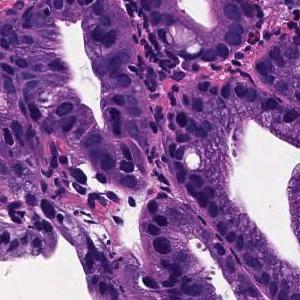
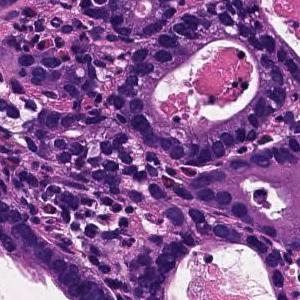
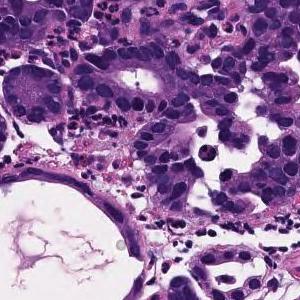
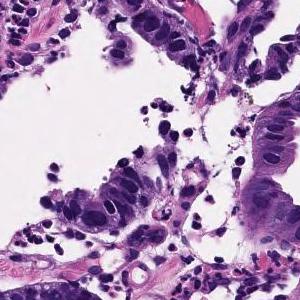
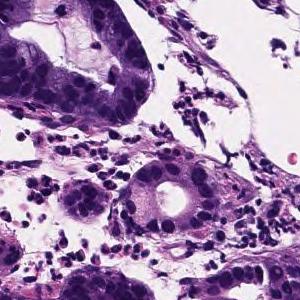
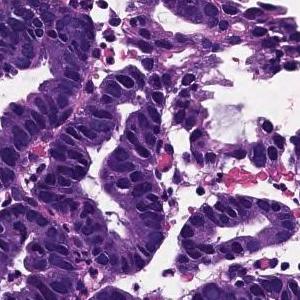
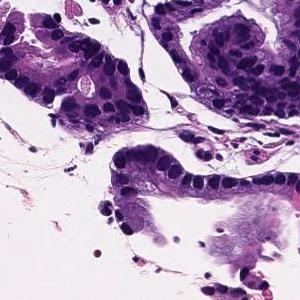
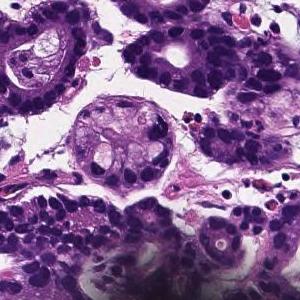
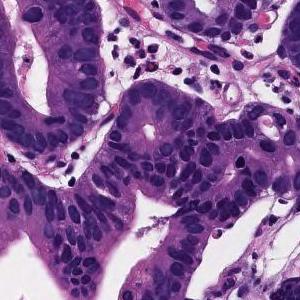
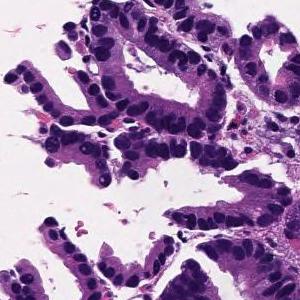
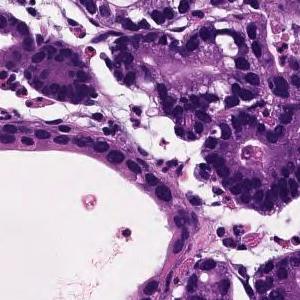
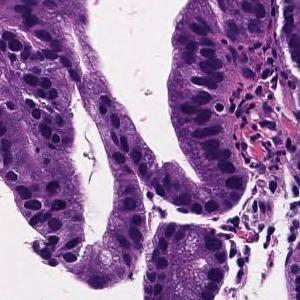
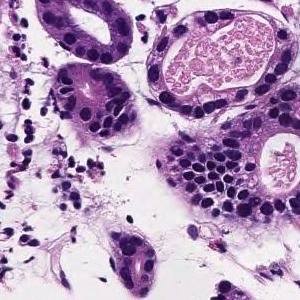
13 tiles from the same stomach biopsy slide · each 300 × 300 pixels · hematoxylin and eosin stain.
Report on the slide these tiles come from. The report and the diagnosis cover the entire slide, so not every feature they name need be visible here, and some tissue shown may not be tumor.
From the superficial epithelium to the muscularis mucosae, tumor tissue consisting of medium-sized and irregular glandular ducts infiltrating is observed. Well differentiated tubular adenocarcinoma
